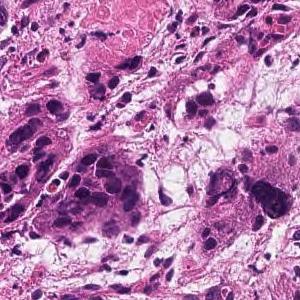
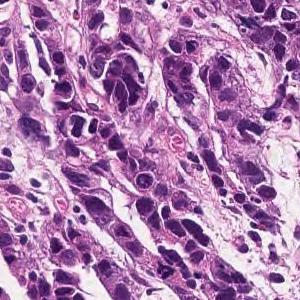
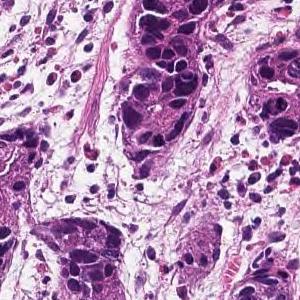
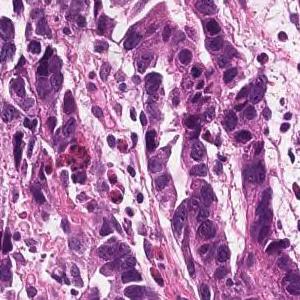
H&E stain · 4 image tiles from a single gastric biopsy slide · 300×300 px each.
Diagnostic report for the slide these tiles come from. Both the report and the diagnosis are for the whole slide: these tiles need not show every feature named, and some of the tissue shown may not be tumor.
In the superficial epithelium, tumor tissue that invades by forming medium-sized to small, irregular ducts is observed. Well differentiated tubular adenocarcinoma.
